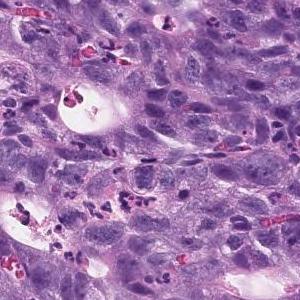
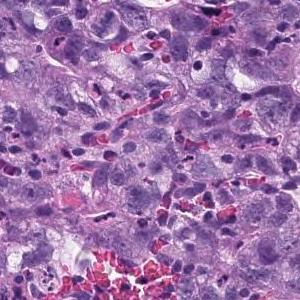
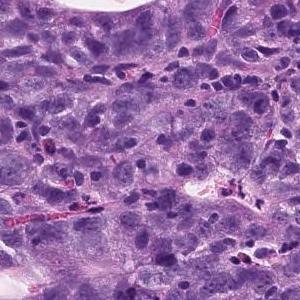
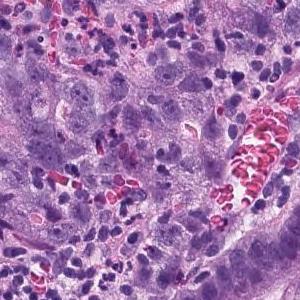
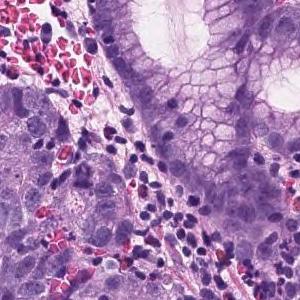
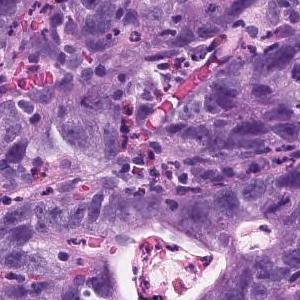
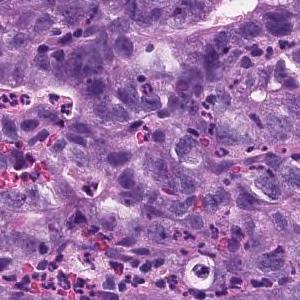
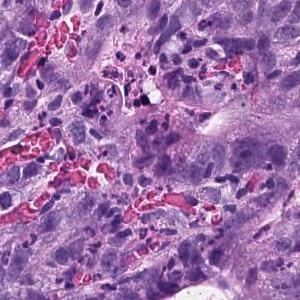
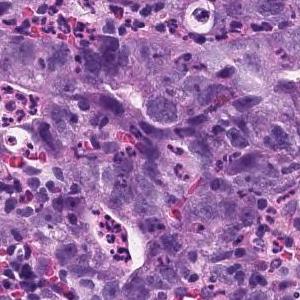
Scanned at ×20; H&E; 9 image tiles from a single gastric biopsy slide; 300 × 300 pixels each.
The pathologist's report on the biopsy slide these tiles were taken from. The report and the diagnosis describe the slide as a whole, so these tiles may not show every feature named and may include non-tumor tissue.
Atypical l cells with atypical nuclei forming solid or diffuse vesicles or small irregular atypical ducts and growing in a complex manner. moderately differentiated tubular adenocarcinoma
